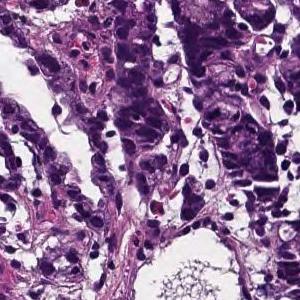
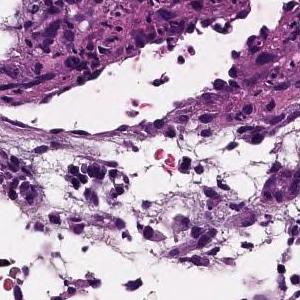
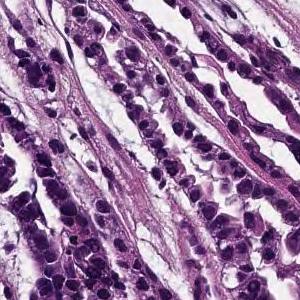
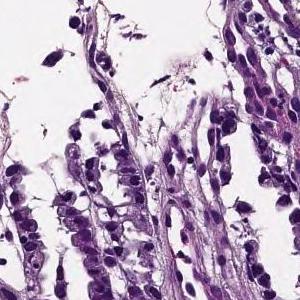
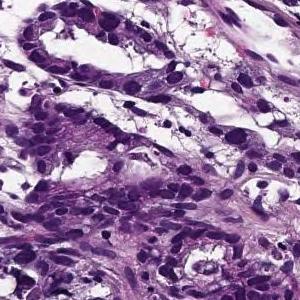
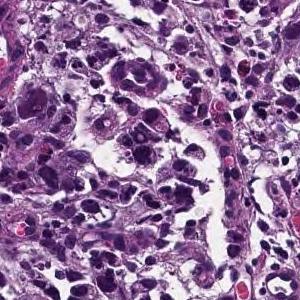
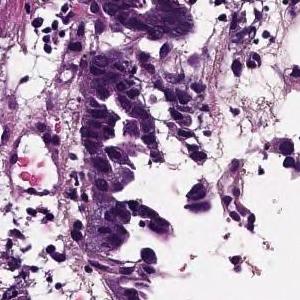
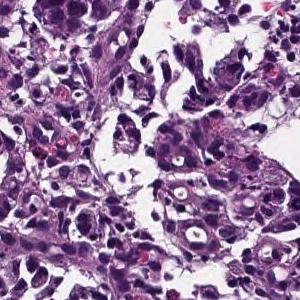
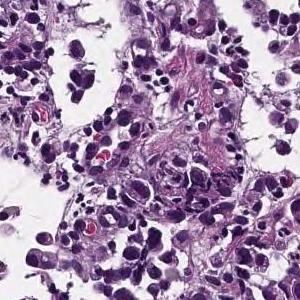
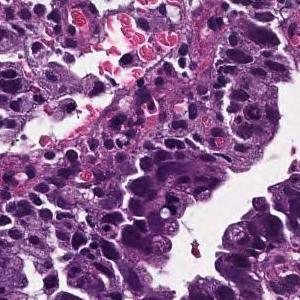
10 tiles from the same stomach biopsy slide, H&E stain.
Pathology report for the biopsy slide these tiles were cut from. Both the report and the diagnosis are for the whole slide: these tiles need not show every feature named, and some of the tissue shown may not be tumor.
Medium to small, irregular glandular ducts are formed in the superficial epithelium, and in some cases, the glandular ducts are fused to show solid alveolar lesions and infiltrating tumor tissue is observed. Moderately to poorly differentiated adenocarcinoma.
